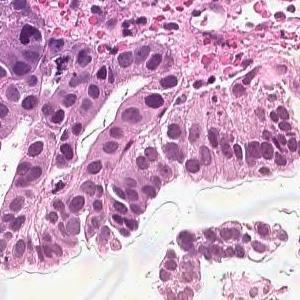
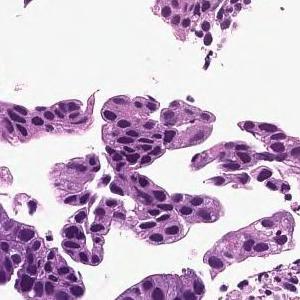
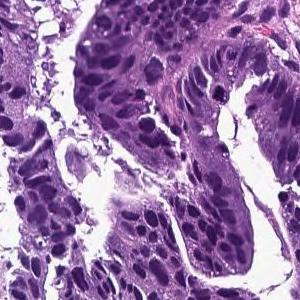
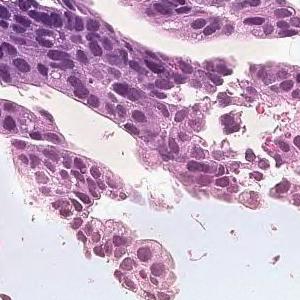
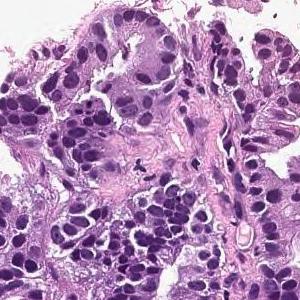
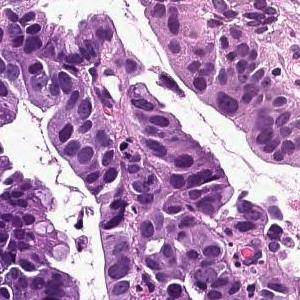
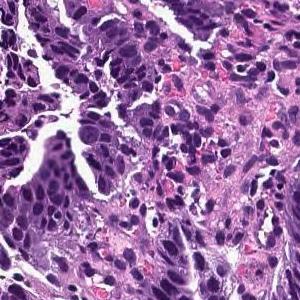
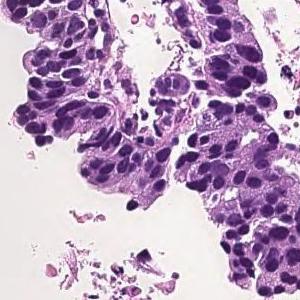
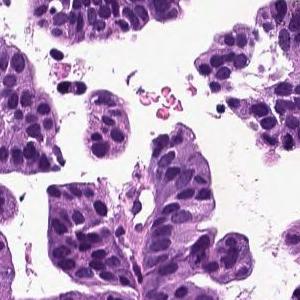
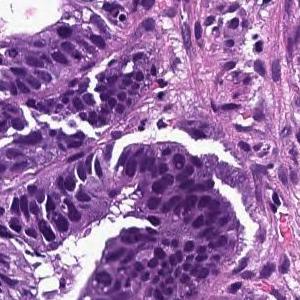
10 tiles cut from one stomach biopsy slide · 20× magnification · H&E.
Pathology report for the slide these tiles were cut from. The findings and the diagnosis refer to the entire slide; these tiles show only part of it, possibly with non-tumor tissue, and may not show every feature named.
Tumor cells are large, highly columnar, large club-shaped nuclei, and are associated with chromatin aggregation. Papillary adenocarcinoma.
